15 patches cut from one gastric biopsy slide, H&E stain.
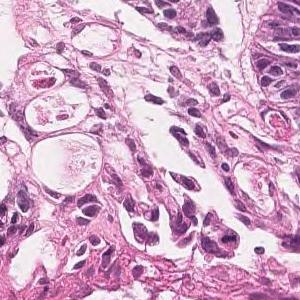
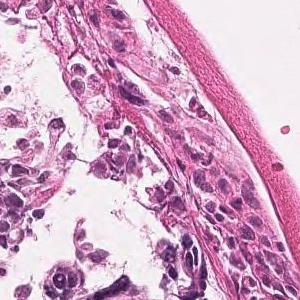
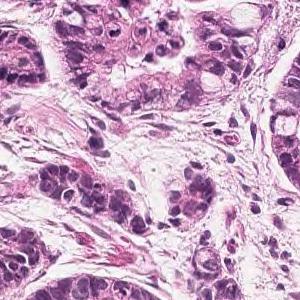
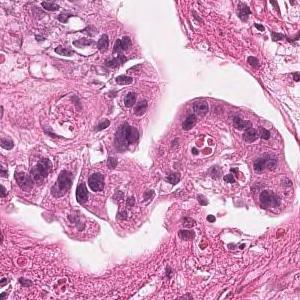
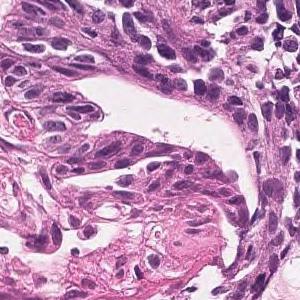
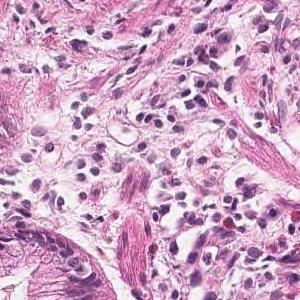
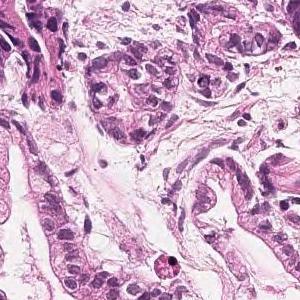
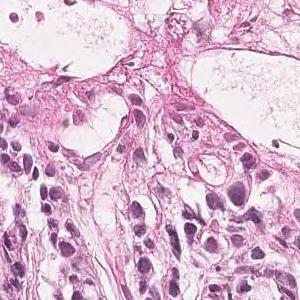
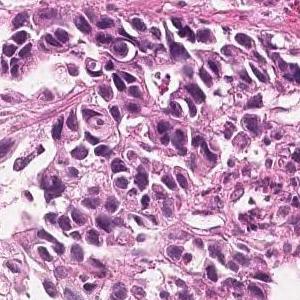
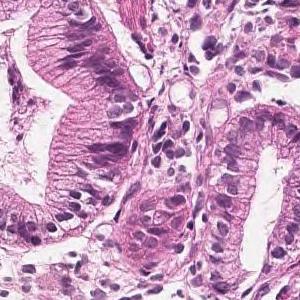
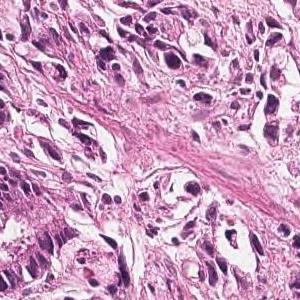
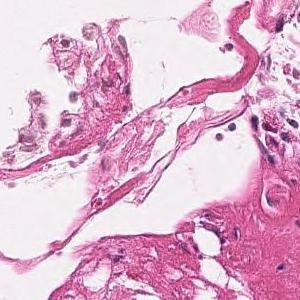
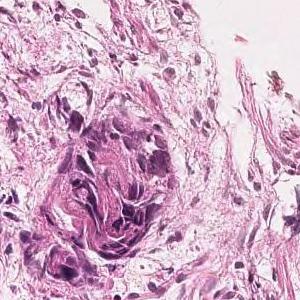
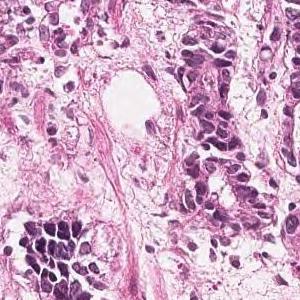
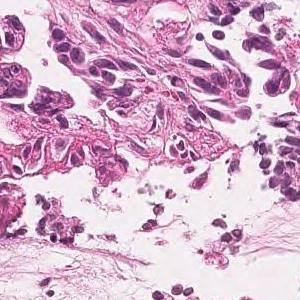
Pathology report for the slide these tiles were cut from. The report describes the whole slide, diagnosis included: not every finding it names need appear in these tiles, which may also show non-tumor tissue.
On the superficial epithelium, tumor tissue consisting of large, irregular glandular ducts partially fused and infiltrated is observed. Well to moderately differentiated tubular adenocarcinoma (well differentiated tubular adenocarcinoma, moderately differentiated tubular adenocarcinoma)
Classified as well to moderately differentiated tubular adenocarcinoma.
